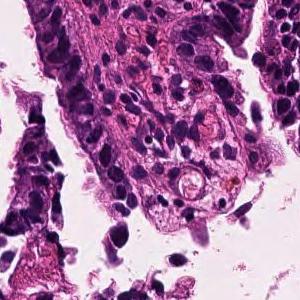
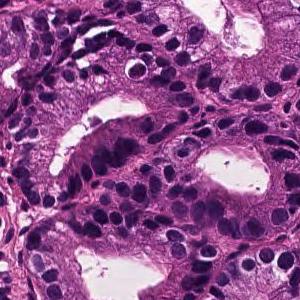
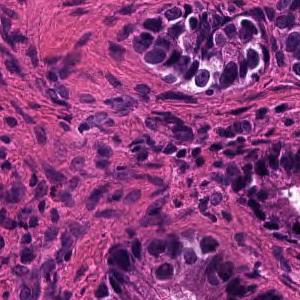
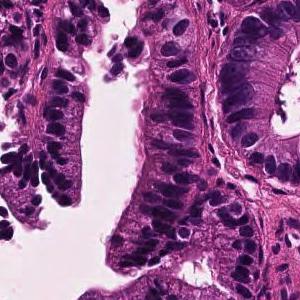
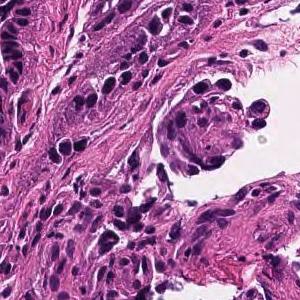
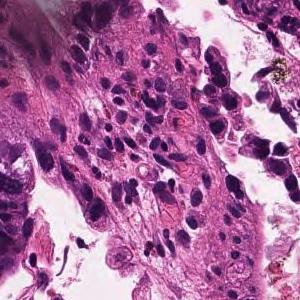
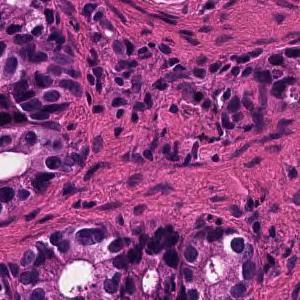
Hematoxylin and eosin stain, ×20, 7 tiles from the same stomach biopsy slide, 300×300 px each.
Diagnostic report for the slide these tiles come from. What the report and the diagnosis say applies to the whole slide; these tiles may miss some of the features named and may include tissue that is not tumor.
In the superficial epithelium, tumor tissue that invades by forming medium-sized to small, irregular ducts is observed. Well differentiated tubular adenocarcinoma.
